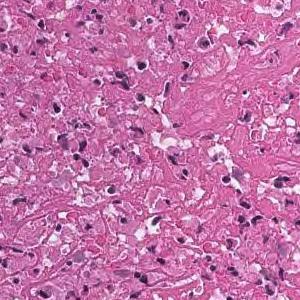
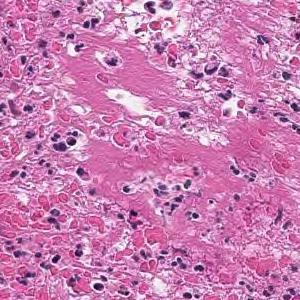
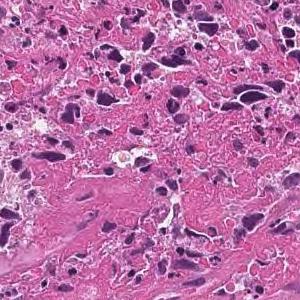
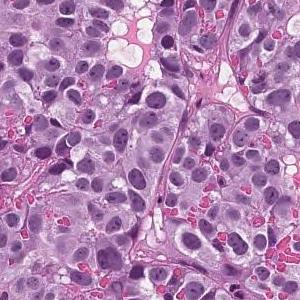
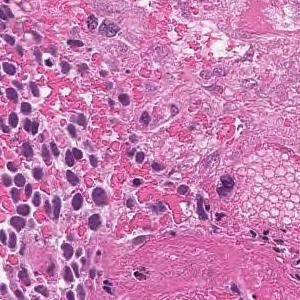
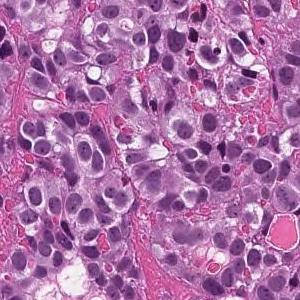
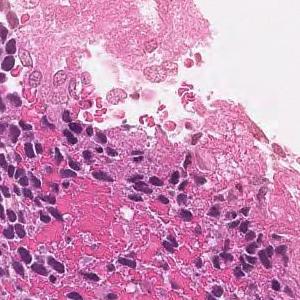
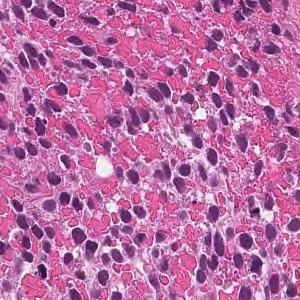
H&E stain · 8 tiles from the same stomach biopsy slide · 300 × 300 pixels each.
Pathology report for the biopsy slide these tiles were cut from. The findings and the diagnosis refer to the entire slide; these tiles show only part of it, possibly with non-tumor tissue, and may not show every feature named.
The superficial epithelium shows a large sheet-like shape, and some tumor tissue infiltrates with small irregular ducts. Poorly differentiated adenocarcinoma, solid-type
Histologic type: Poorly differentiated adenocarcinoma, solid type. This name comes from the Japanese Classification of Gastric Carcinoma; the WHO 2019 classification calls it tubular adenocarcinoma, poorly differentiated.
